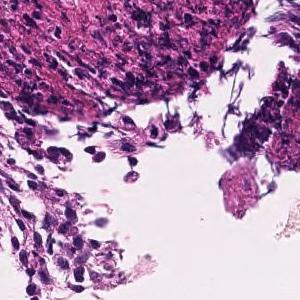
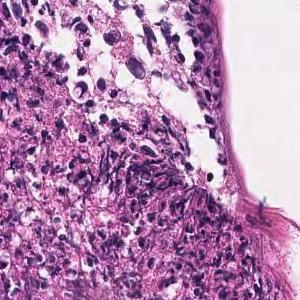
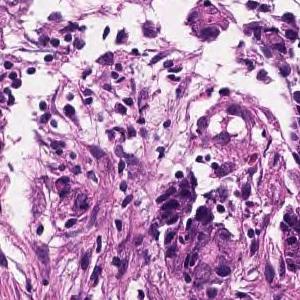
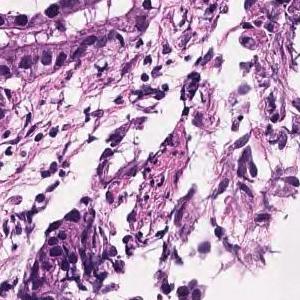
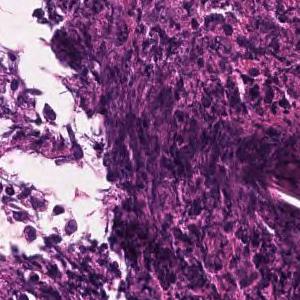
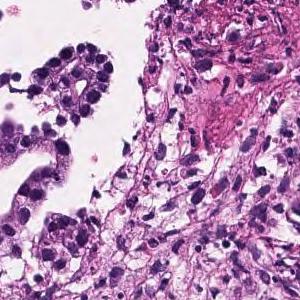
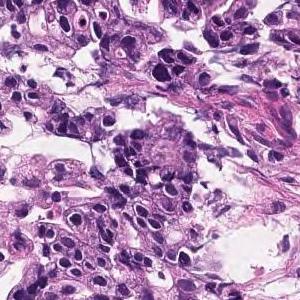
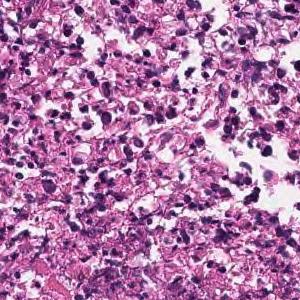
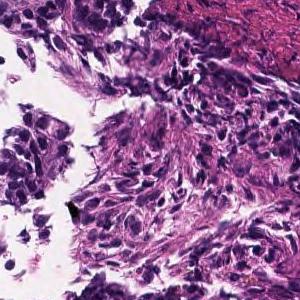
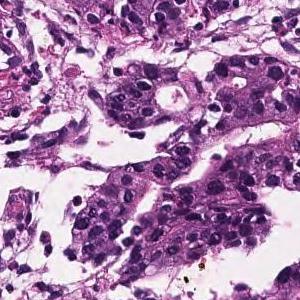
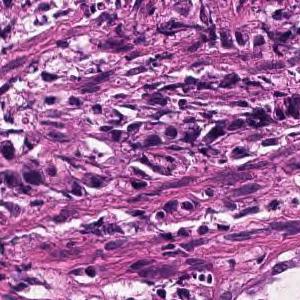
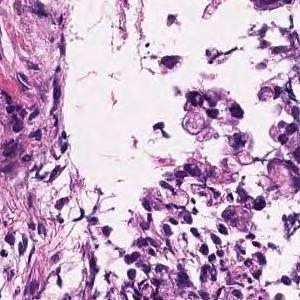
Hematoxylin and eosin stain; 12 tiles from the same stomach biopsy slide.
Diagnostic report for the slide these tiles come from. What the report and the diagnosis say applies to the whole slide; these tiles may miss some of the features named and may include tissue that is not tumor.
In the superficial epithelium, medium to small, irregular gland ducts are formed, and in some cases, the gland ducts are fused to show solid alveolar lesions and infiltrating tumor tissue is observed. Moderately to poorly differentiated adenocarcinoma.
